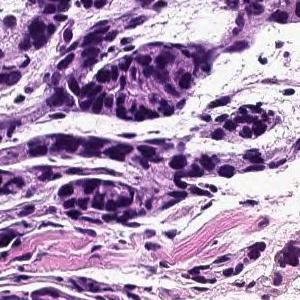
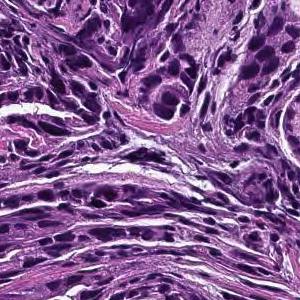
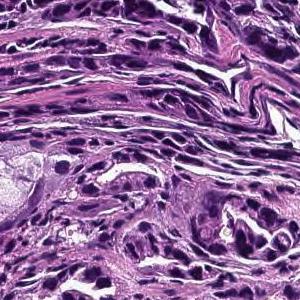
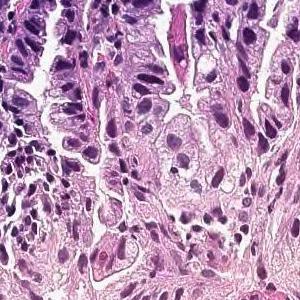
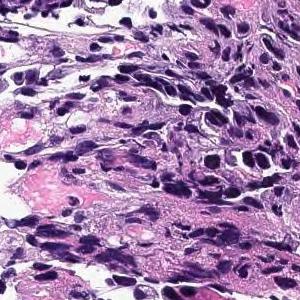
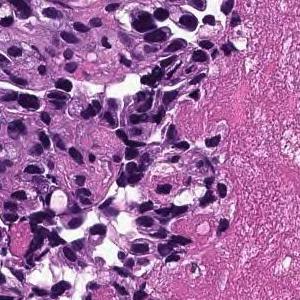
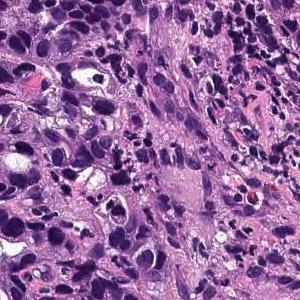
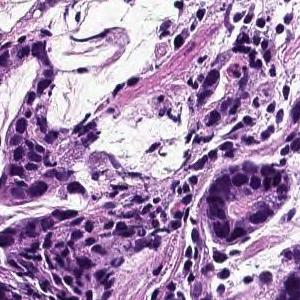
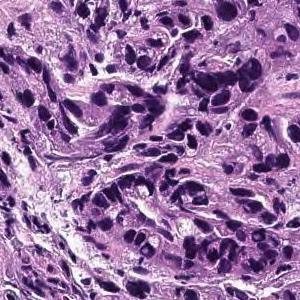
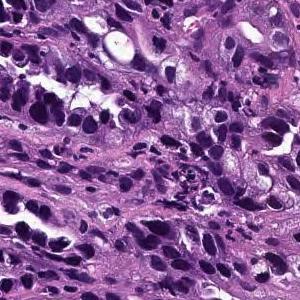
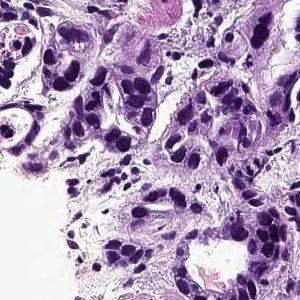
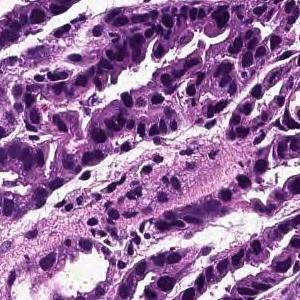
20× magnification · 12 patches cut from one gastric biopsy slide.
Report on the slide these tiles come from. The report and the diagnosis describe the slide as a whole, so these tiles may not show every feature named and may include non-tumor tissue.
Tumor cells are large, highly columnar, large club-shaped nuclei, and are associated with chromatin aggregation. Papillary adenocarcinoma.
